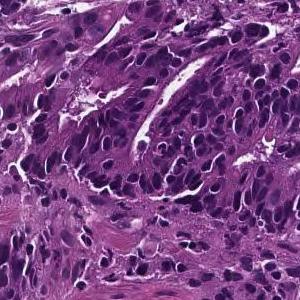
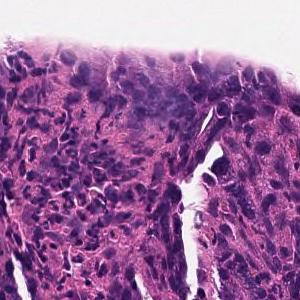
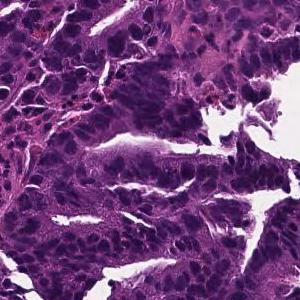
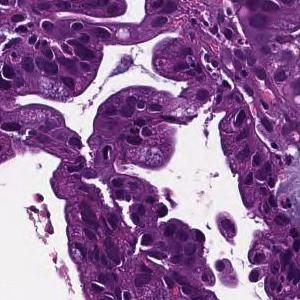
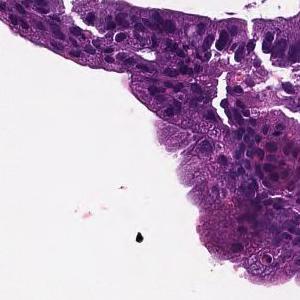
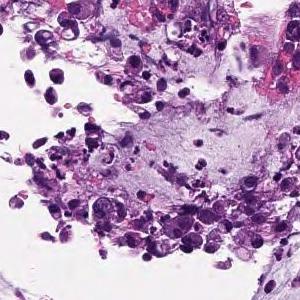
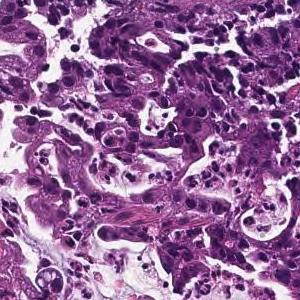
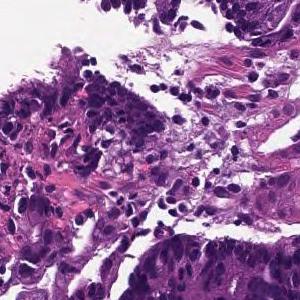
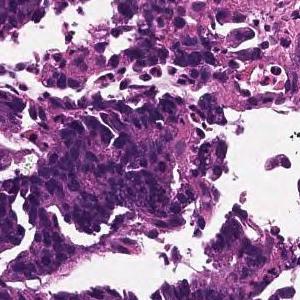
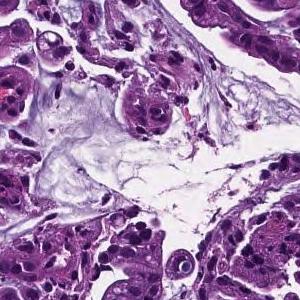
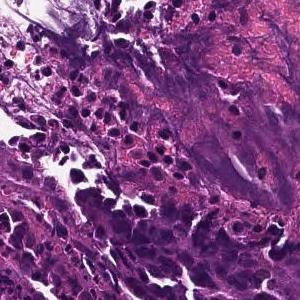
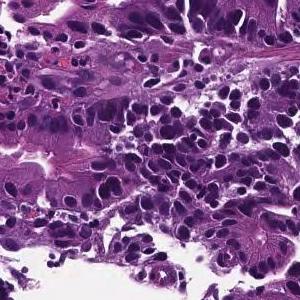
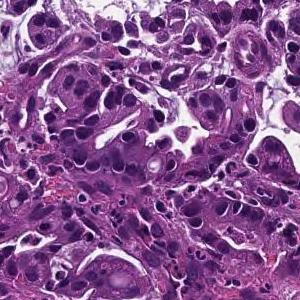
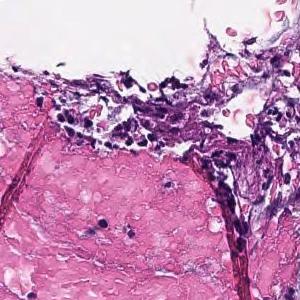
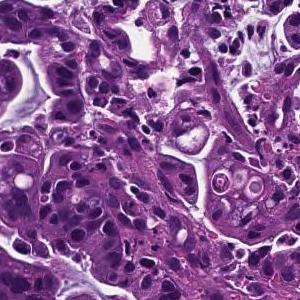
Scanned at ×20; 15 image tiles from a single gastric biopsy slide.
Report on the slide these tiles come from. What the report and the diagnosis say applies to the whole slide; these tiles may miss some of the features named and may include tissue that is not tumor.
On the superficial epithelium, tumor tissue consisting of large irregular glandular ducts partially fused and infiltrated is observed. Well to moderately differentiated tubular adenocarcinoma (well differentiated tubular adenocarcinoma, moderately differentiated tubular adenocarcinoma)
Classified as well to moderately differentiated tubular adenocarcinoma.
